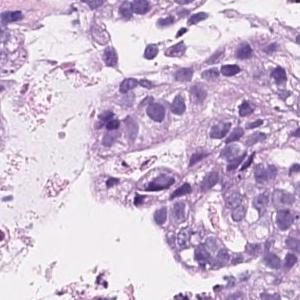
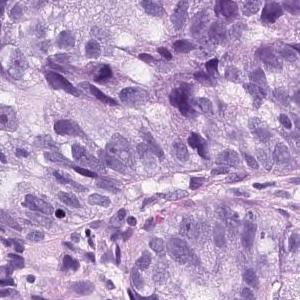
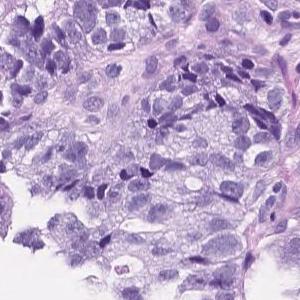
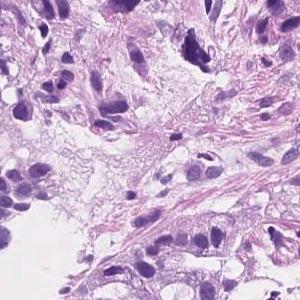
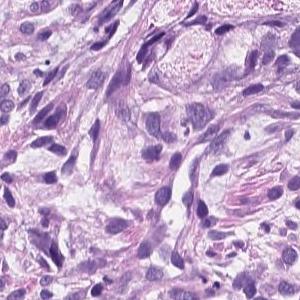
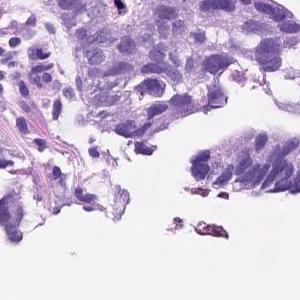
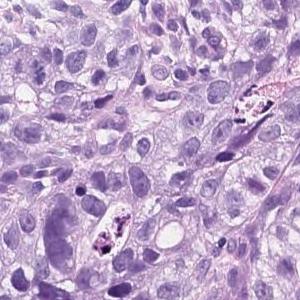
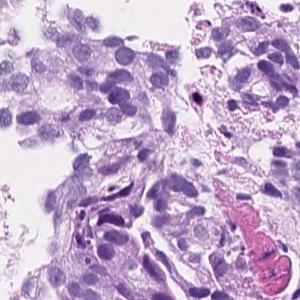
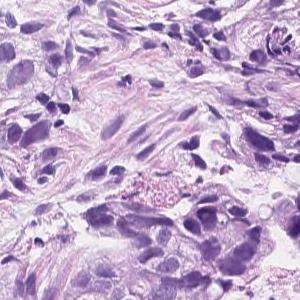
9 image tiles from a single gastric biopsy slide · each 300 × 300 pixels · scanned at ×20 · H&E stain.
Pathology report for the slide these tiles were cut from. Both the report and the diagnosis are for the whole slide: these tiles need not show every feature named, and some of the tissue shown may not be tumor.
On the superficial epithelium, tumor tissue consisting of an image of large, irregular glandular ducts partially fused and infiltrated is observed. Well to moderately differentiated tubular adenocarcinoma
